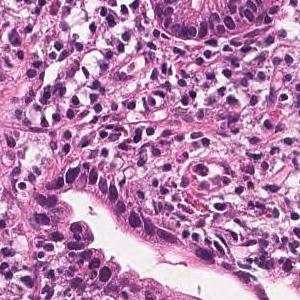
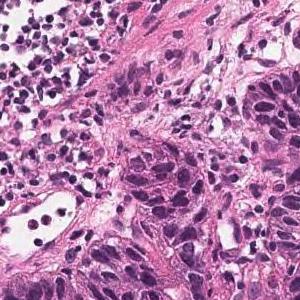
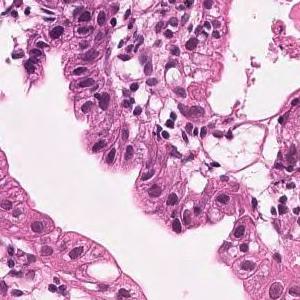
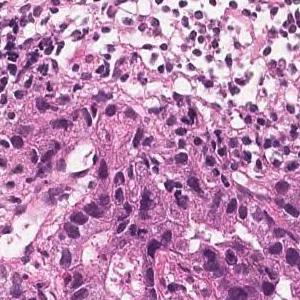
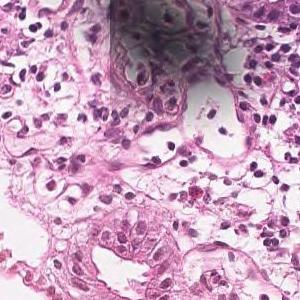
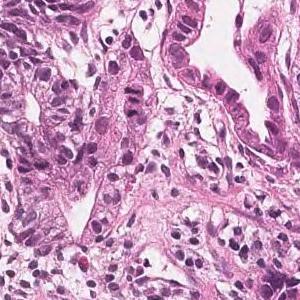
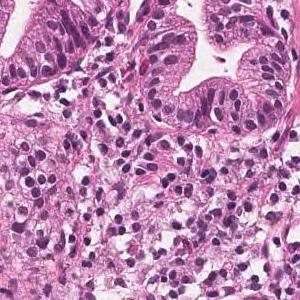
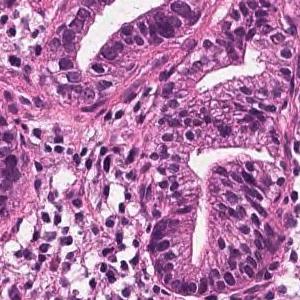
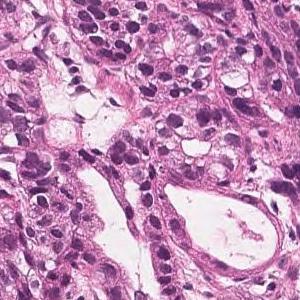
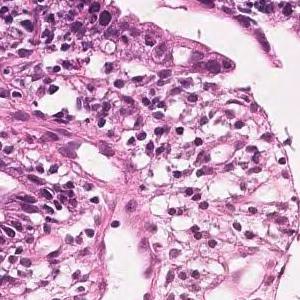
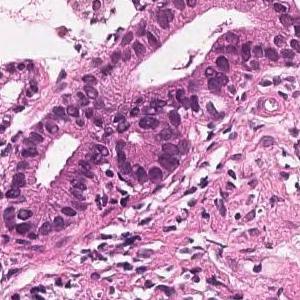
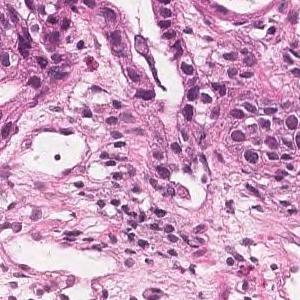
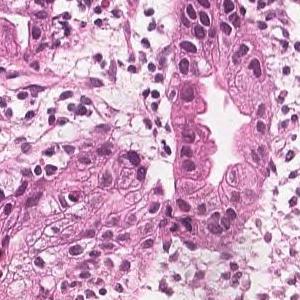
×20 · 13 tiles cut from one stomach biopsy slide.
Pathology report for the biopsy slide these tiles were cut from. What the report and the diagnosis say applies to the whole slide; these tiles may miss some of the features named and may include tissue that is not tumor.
Tumor tissue consisting of medium-sized and irregular ducts is observed infiltrating in the superficial epithelium. Tumor cells are highly columnar, with nuclei aligned basolaterally and polarized. Well differentiated tubular adenocarcinoma.
